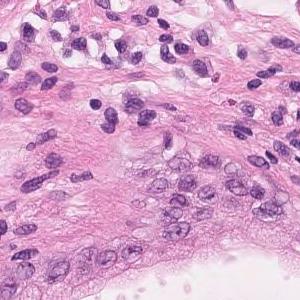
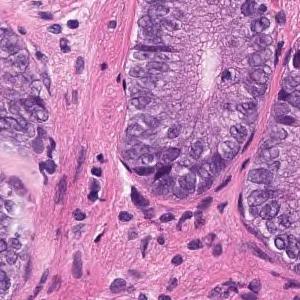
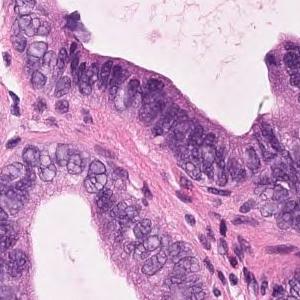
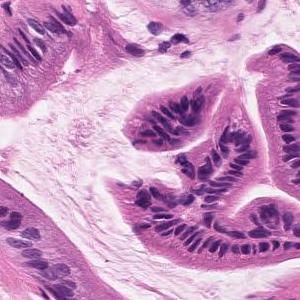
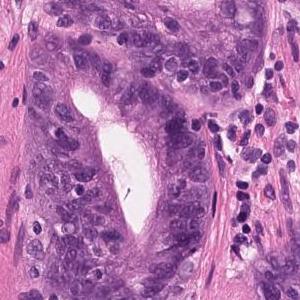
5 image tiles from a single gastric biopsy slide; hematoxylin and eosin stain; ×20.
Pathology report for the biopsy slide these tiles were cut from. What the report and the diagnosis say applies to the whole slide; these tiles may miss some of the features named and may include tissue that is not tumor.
Atypical l cells with atypical nuclei forming irregular glandular ducts. Well differentiated tubuar adenocarcinoma (well differentiated tubular adenocarcinoma)
Classified as well differentiated tubular adenocarcinoma.
